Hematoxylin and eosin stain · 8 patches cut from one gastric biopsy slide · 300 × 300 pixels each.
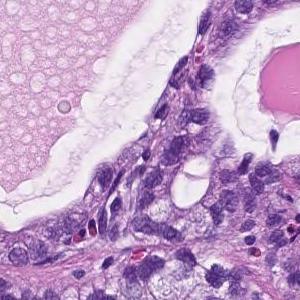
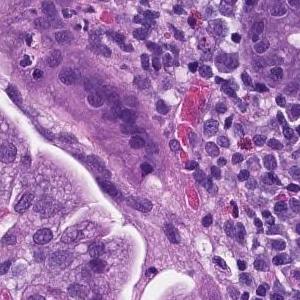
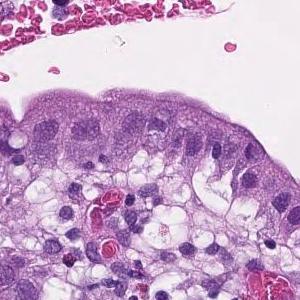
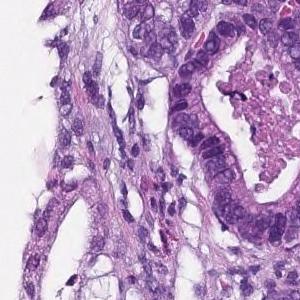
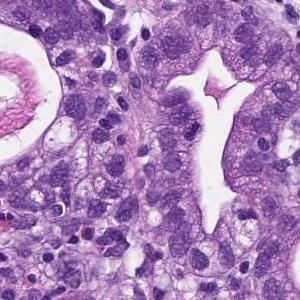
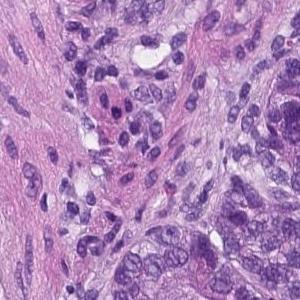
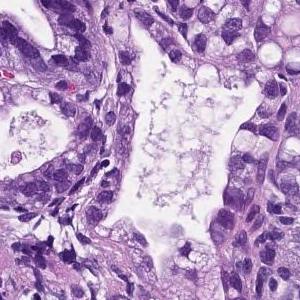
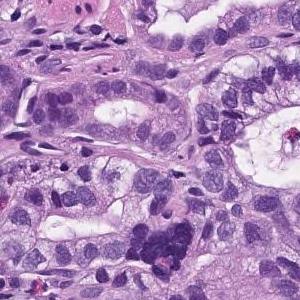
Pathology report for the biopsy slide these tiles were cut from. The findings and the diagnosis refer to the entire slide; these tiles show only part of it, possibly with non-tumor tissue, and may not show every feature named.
From the superficial epithelium to the muscularis mucosae, tumor tissue consisting of medium-sized and irregular glandular ducts infiltrating is observed. Well differentiated tubular adenocarcinoma
